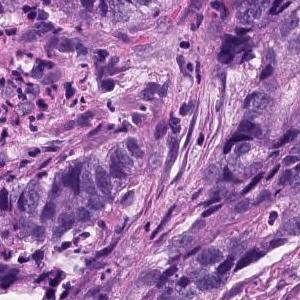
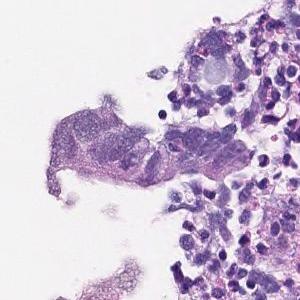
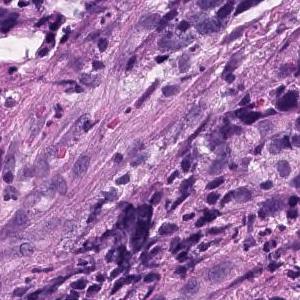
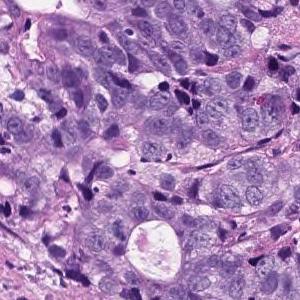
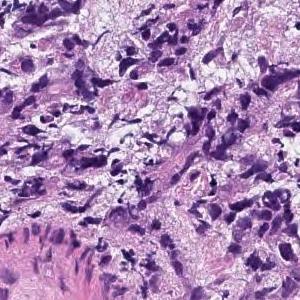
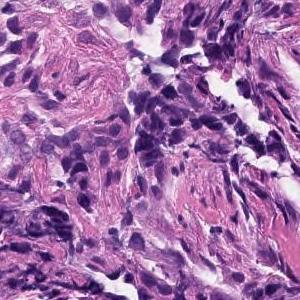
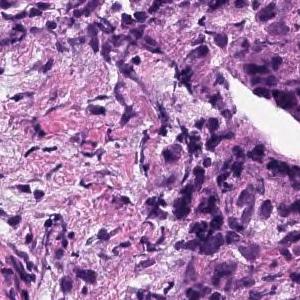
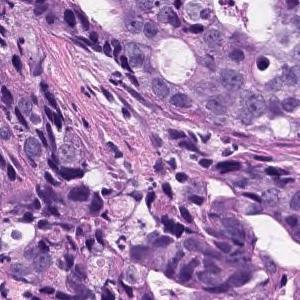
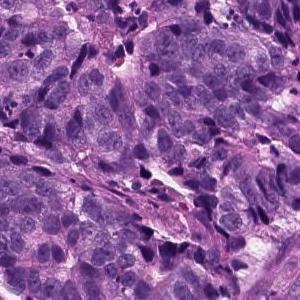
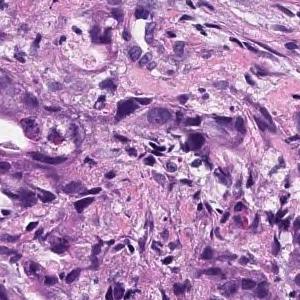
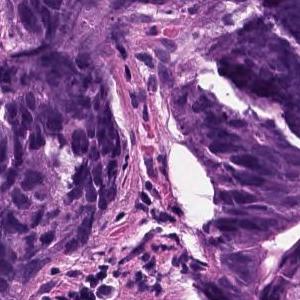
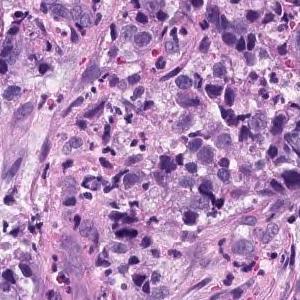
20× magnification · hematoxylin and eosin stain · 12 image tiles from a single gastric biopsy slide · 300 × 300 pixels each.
Diagnostic report for the slide these tiles come from. The report and the diagnosis cover the entire slide, so not every feature they name need be visible here, and some tissue shown may not be tumor.
Medium to small, irregular glandular ducts are formed in the superficial epithelium, and in some cases, the glandular ducts are fused to show solid alveolar lesions and infiltrating tumor tissue is observed. Moderately to poorly differentiated adenocarcinoma.
